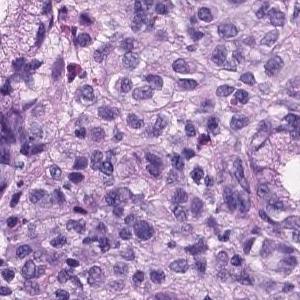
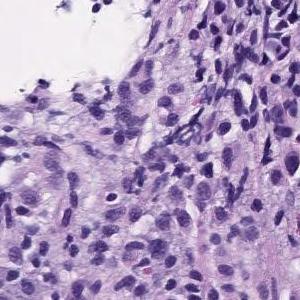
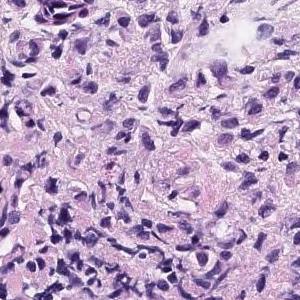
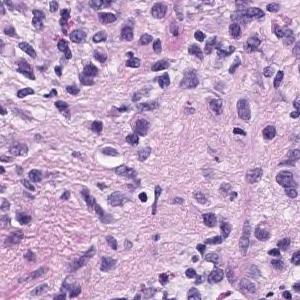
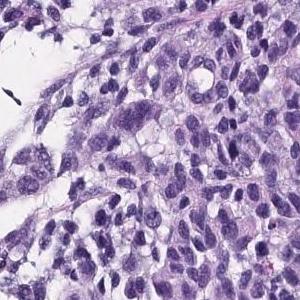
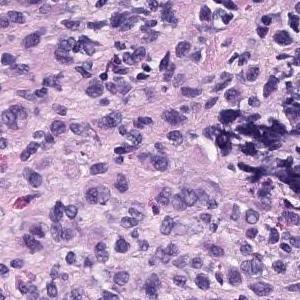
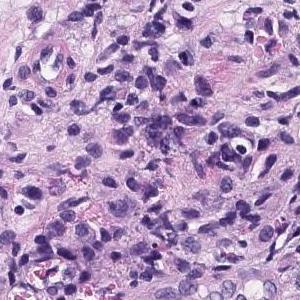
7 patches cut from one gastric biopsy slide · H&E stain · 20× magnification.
Report on the slide these tiles come from. The findings and the diagnosis refer to the entire slide; these tiles show only part of it, possibly with non-tumor tissue, and may not show every feature named.
There are medium-sized atypical cells with marked nuclear swelling and increased N/C ratio, which grow into solid or isolated scattered cells. Poorly differentiated adenocarcinoma
Histological subtype: Poorly differentiated adenocarcinoma, solid type (Japanese Classification of Gastric Carcinoma). The WHO 2019 equivalent is tubular adenocarcinoma, poorly differentiated.
